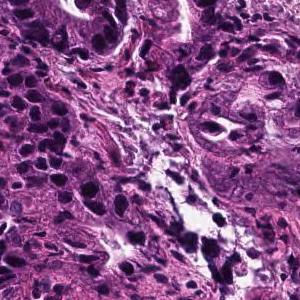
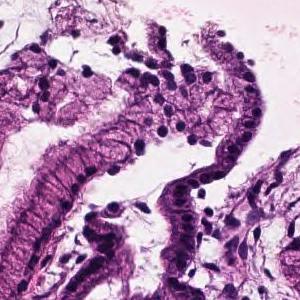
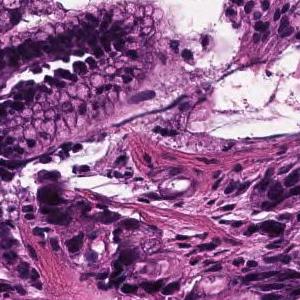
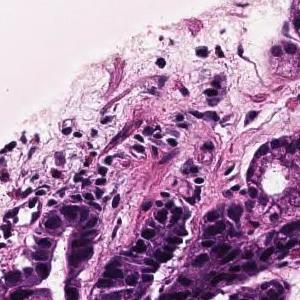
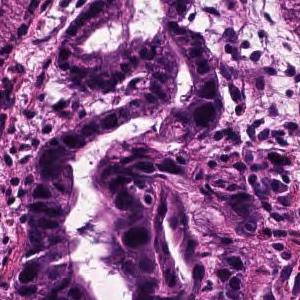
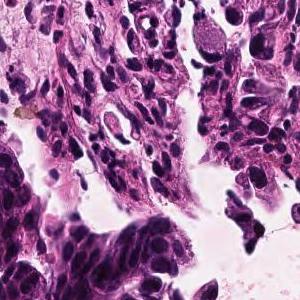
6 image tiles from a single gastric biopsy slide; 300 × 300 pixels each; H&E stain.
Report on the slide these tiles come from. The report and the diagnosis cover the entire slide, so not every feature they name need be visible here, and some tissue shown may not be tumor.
In the superficial epithelium, tumor tissue that invades by forming medium-sized to small, irregular ducts is observed. moderately differentiated tubular adenocarcinoma.
